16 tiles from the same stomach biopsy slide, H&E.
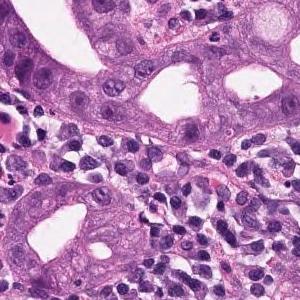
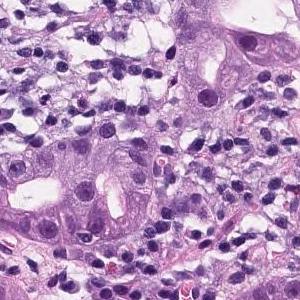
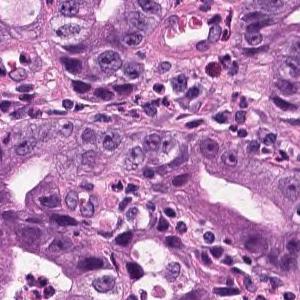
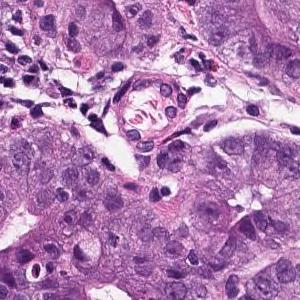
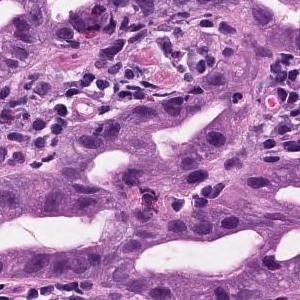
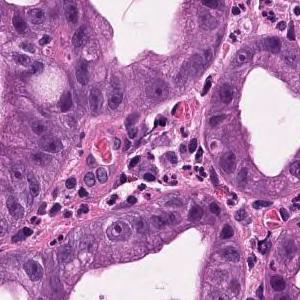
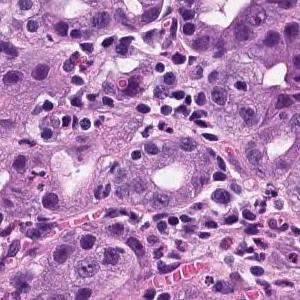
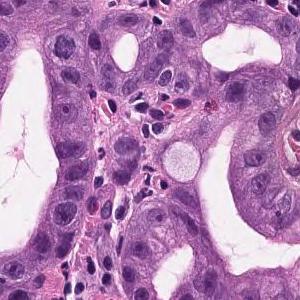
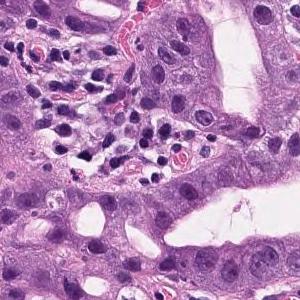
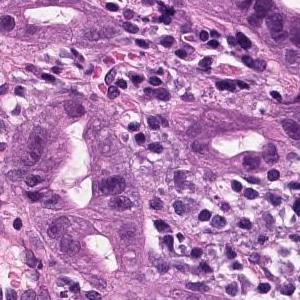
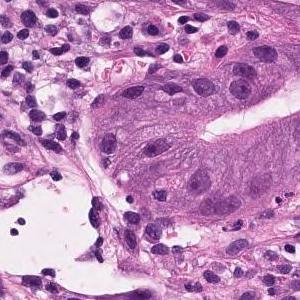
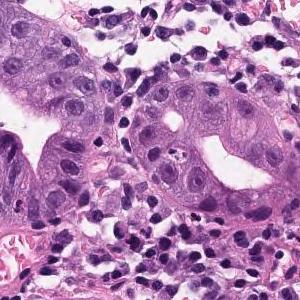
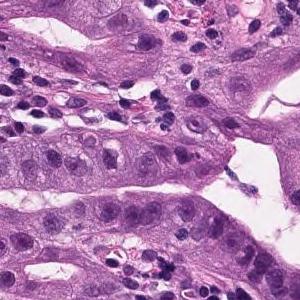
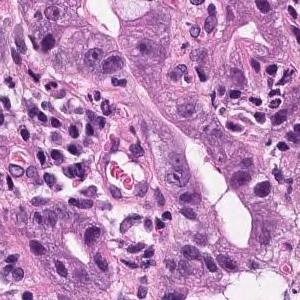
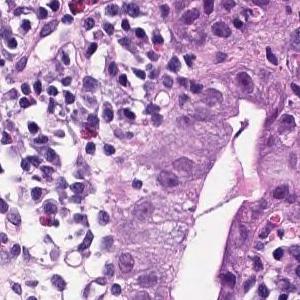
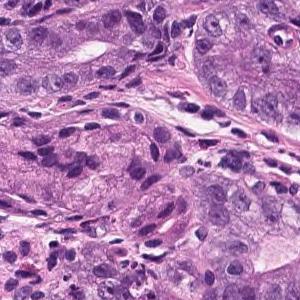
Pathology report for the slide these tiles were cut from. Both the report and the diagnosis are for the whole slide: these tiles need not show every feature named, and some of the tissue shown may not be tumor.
In the superficial epithelium, tumor tissue that invades by forming medium-sized to small, irregular ducts is observed. Well to moderately differentiated adenocarcinoma (well differentiated tubular adenocarcinoma, moderately differentiated tubular adenocarcinoma).
Tumor subtype: well to moderately differentiated tubular adenocarcinoma.
